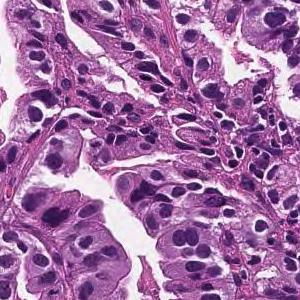
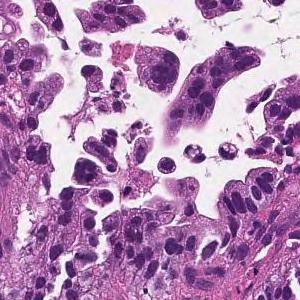
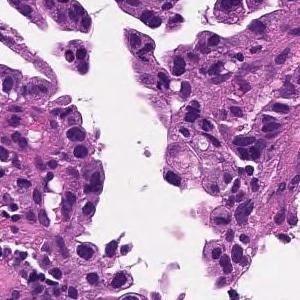
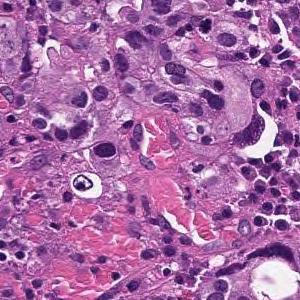
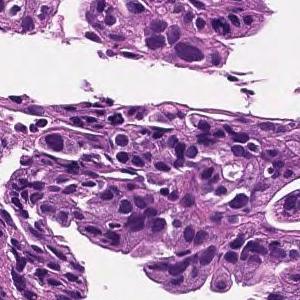
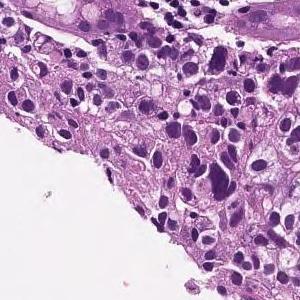
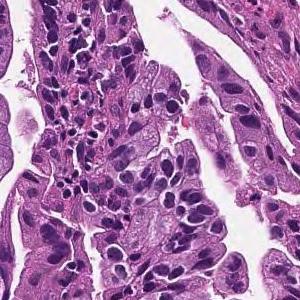
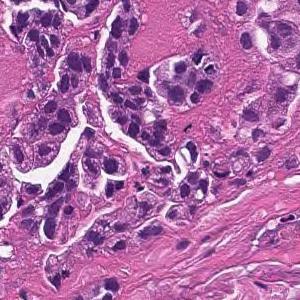
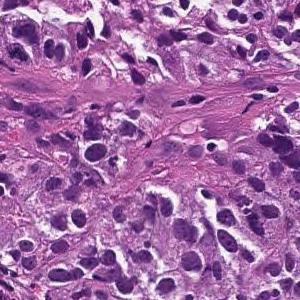
Scanned at ×20 · hematoxylin and eosin stain · 9 tiles cut from one stomach biopsy slide · each 300 × 300 pixels.
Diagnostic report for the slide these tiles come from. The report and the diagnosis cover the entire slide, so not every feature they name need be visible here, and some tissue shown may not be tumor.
Medium to small, irregular glandular ducts are formed in the superficial epithelium, and in some cases, the glandular ducts are fused to show solid alveolar lesions and infiltrating tumor tissue is observed. Moderately to poorly differentiated adenocarcinoma.
